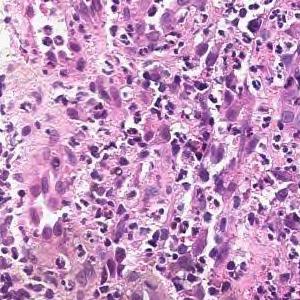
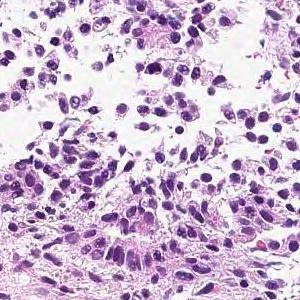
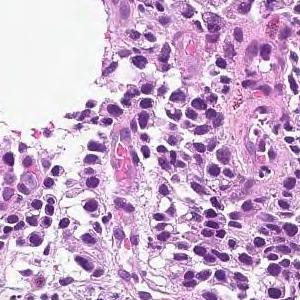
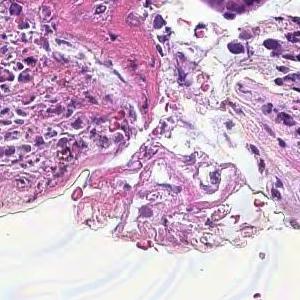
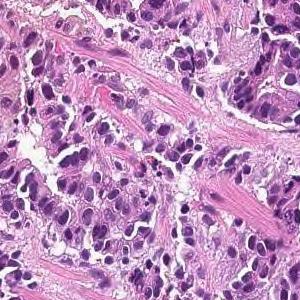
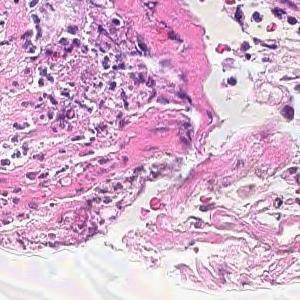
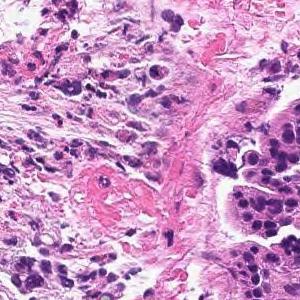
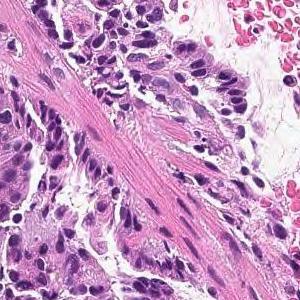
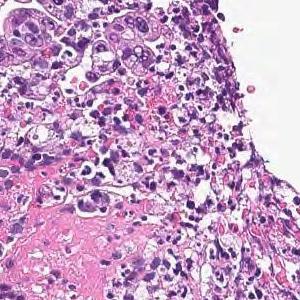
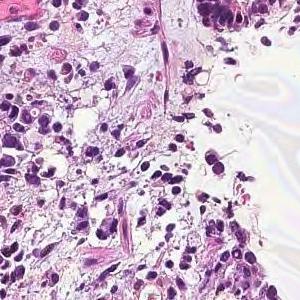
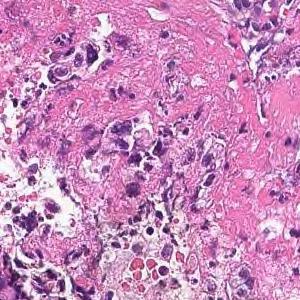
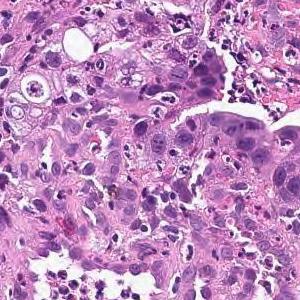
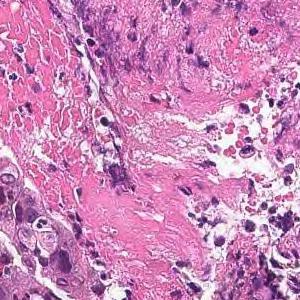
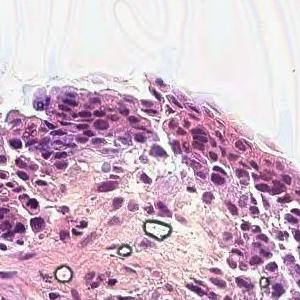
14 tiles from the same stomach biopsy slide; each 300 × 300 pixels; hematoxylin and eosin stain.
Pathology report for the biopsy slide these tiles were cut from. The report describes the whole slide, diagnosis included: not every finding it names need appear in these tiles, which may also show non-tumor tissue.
Tumor tissue consisting of medium-sized, cord-like or irregular glandular infiltration is observed in the superficial epithelium. Poorly differentiated adenocarcinoma, non-solid type or moderately differentiated tubular adenocarcinoma
Tumor subtype: moderately to poorly differentiated adenocarcinoma.
The term "non-solid type" comes from the Japanese Classification of Gastric Carcinoma.
